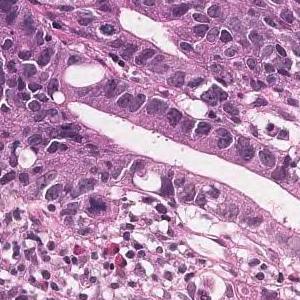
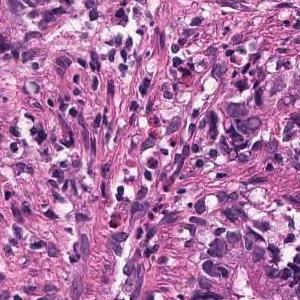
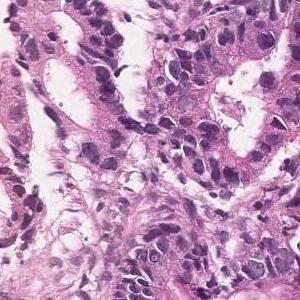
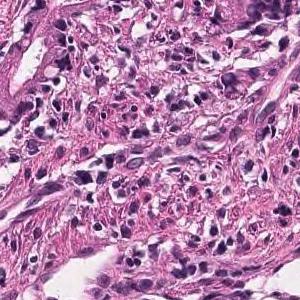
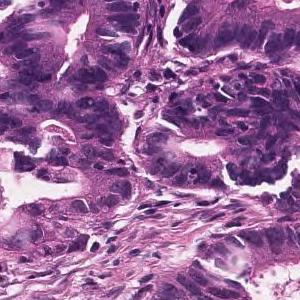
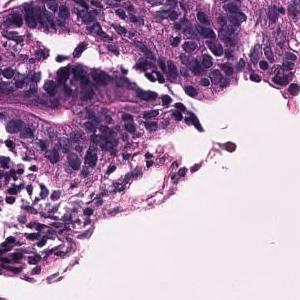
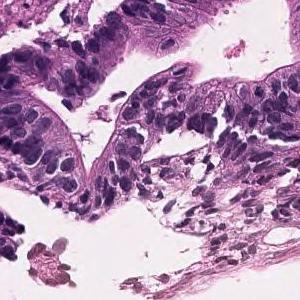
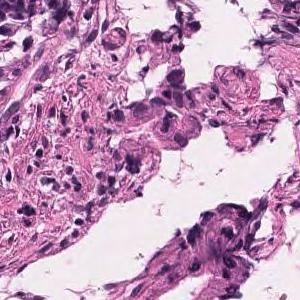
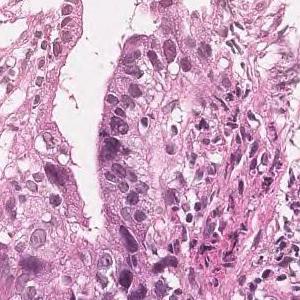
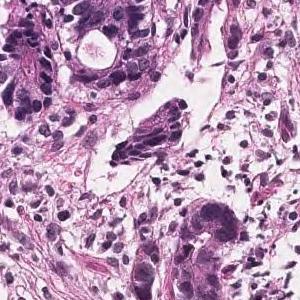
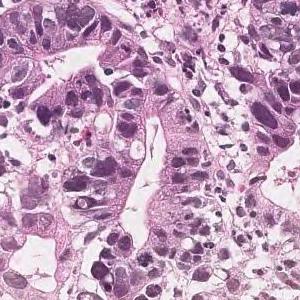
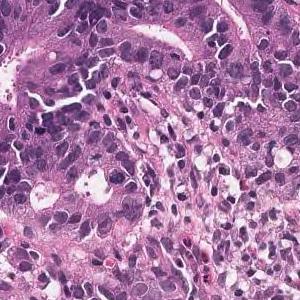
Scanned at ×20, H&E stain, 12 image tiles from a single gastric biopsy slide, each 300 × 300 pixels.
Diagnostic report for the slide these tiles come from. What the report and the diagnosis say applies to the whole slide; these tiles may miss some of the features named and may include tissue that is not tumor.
In the superficial epithelium, tumor tissue is found in which medium-sized irregular gland ducts fuse with each other and infiltrate. moderately differentiated tubular adenocarcinoma
